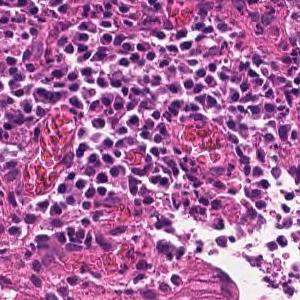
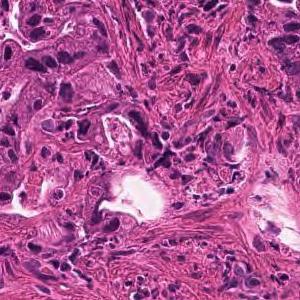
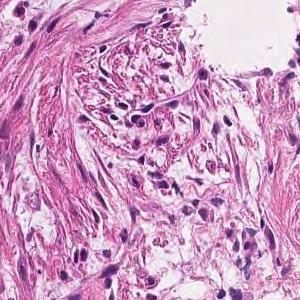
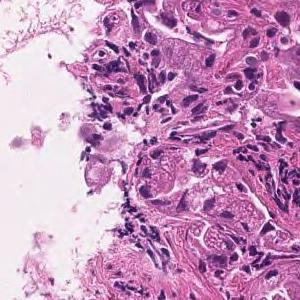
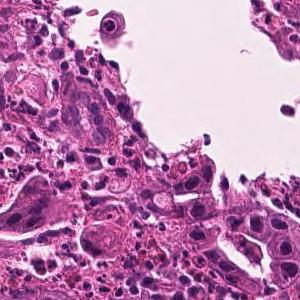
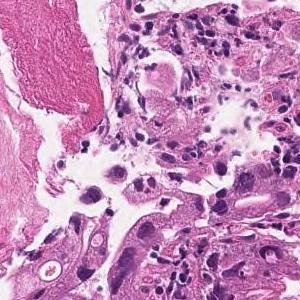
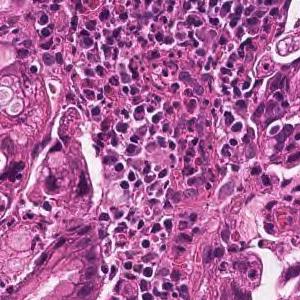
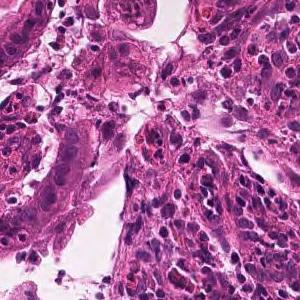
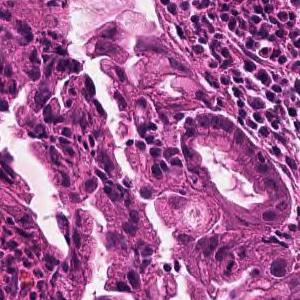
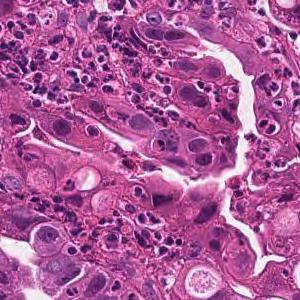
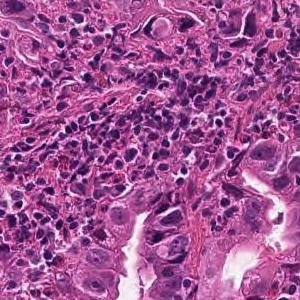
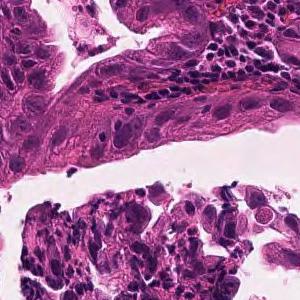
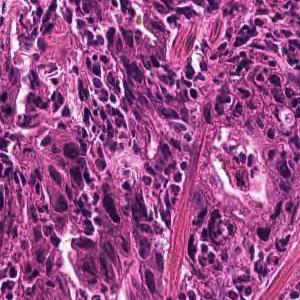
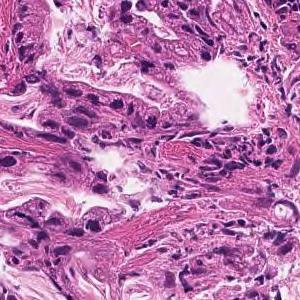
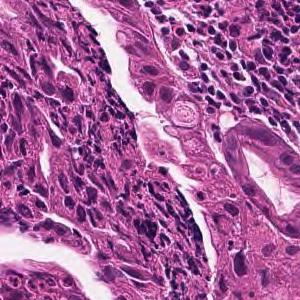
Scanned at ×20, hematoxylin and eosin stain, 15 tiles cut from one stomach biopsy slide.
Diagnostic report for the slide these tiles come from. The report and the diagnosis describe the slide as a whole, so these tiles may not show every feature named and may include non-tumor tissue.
Medium to small, irregular glandular ducts are formed in the superficial epithelium, and in some cases, the glandular ducts are fused to show solid alveolar lesions and infiltrating tumor tissue is observed. Moderately to poorly differentiated adenocarcinoma.
